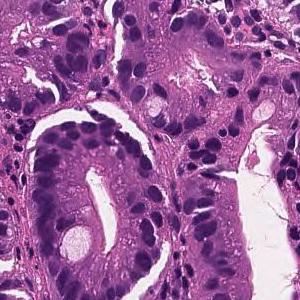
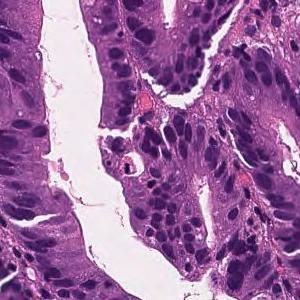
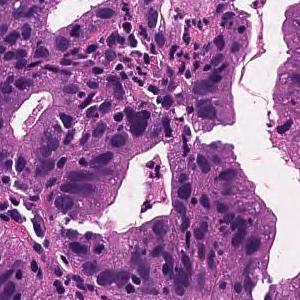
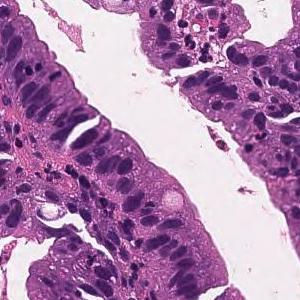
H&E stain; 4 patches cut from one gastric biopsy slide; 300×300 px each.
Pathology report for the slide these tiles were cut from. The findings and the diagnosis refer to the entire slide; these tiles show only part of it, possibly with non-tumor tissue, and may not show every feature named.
From the superficial epithelium to the muscularis mucosae, tumor tissue consisting of medium-sized and irregular glandular ducts infiltrating is observed. Well differentiated tubular adenocarcinoma
